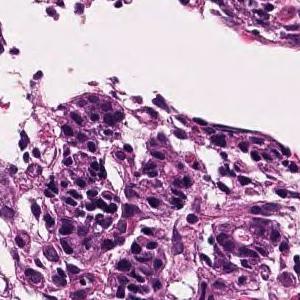
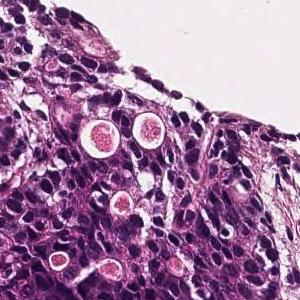
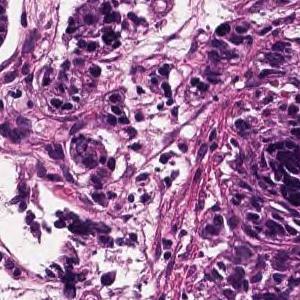
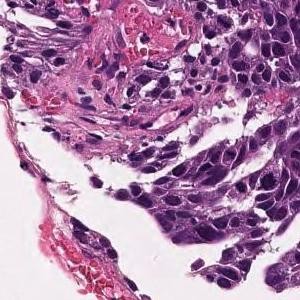
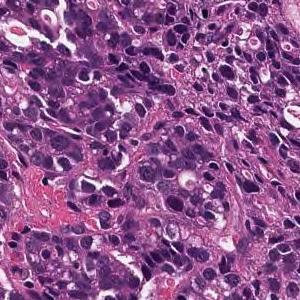
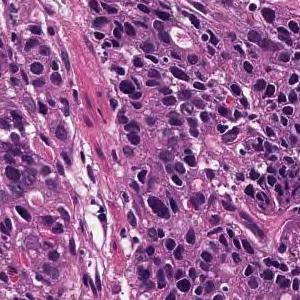
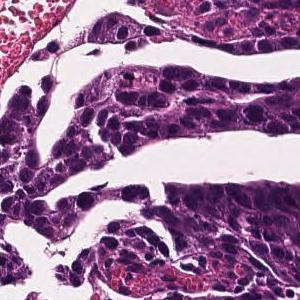
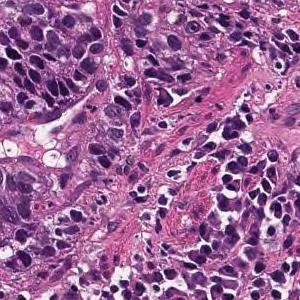
8 image tiles from a single gastric biopsy slide; H&E stain; 20× magnification.
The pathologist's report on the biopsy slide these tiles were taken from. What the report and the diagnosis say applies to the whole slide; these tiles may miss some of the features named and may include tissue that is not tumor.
Medium to small, irregular glandular ducts are formed in the superficial epithelium, and in some cases, the glandular ducts are fused to show solid alveolar lesions and infiltrating tumor tissue is observed. Moderately to poorly differentiated adenocarcinoma.
